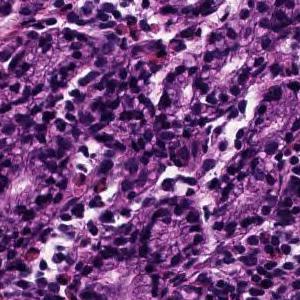
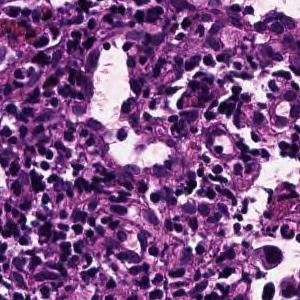
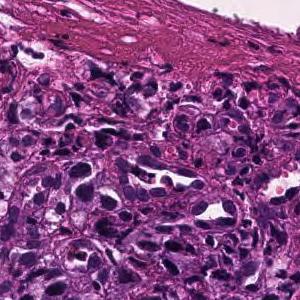
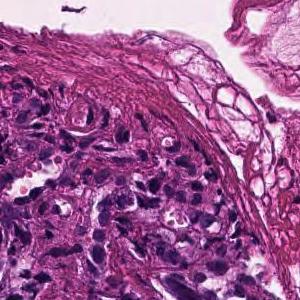
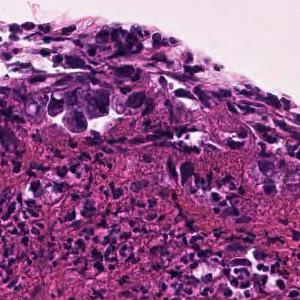
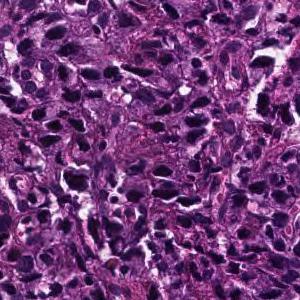
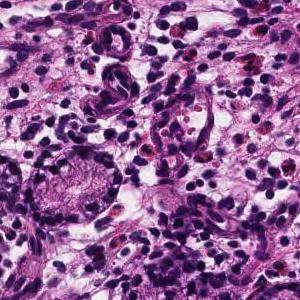
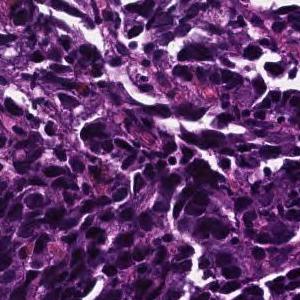
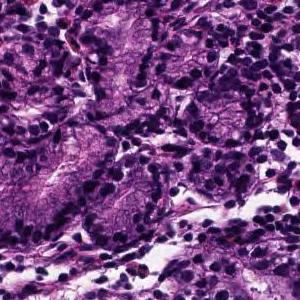
9 patches cut from one gastric biopsy slide.
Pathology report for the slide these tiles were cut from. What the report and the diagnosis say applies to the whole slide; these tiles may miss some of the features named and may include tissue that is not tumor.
The superficial epithelium shows a large sheet-like shape, and some tumor tissues infiltrate with a small cord-like structure. Poorly differentiated adenocarcinoma, solid type (poorly differentiated adenocarcinoma, solid type)
Histologic type: Poorly differentiated adenocarcinoma, solid type. This name comes from the Japanese Classification of Gastric Carcinoma; the WHO 2019 classification calls it tubular adenocarcinoma, poorly differentiated.
